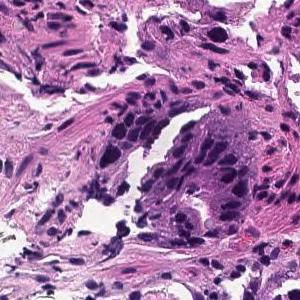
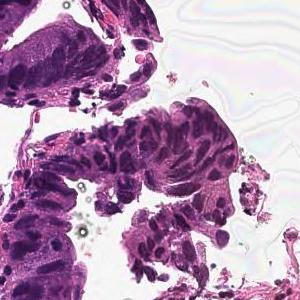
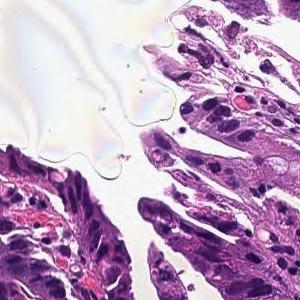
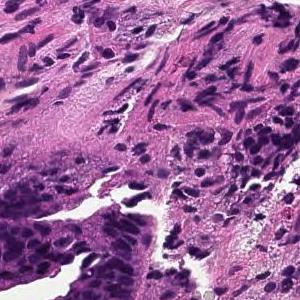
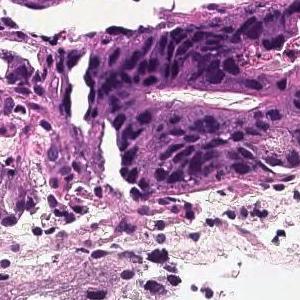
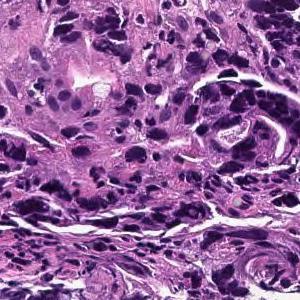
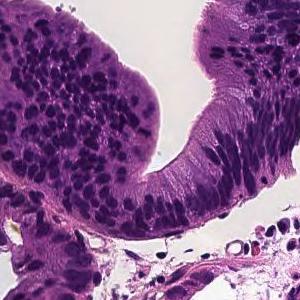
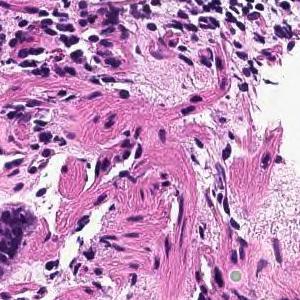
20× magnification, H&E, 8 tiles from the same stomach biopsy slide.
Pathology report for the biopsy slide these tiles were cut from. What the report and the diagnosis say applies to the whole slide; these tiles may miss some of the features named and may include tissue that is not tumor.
In the superficial epithelium, tumor tissue that invades by forming medium-sized to small, irregular ducts is observed. moderately differentiated tubular adenocarcinoma.
